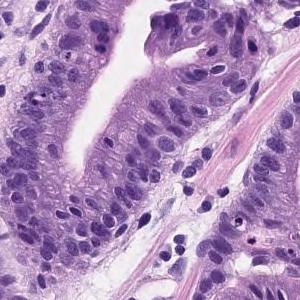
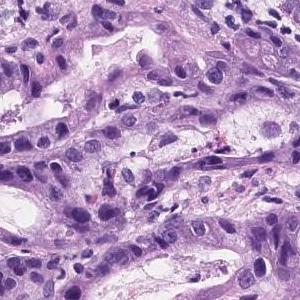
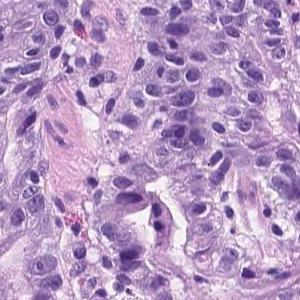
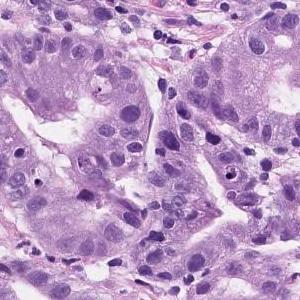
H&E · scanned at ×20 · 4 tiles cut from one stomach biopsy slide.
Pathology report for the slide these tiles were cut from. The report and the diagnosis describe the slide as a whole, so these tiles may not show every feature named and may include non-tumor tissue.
Tumor tissue consisting of medium-sized and irregular ducts is observed infiltrating in the superficial epithelium. Tumor cells are highly columnar, with nuclei aligned basolaterally and polarized. Well differentiated tubular adenocarcinoma.
